14 tiles cut from one stomach biopsy slide.
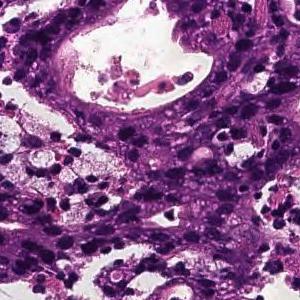
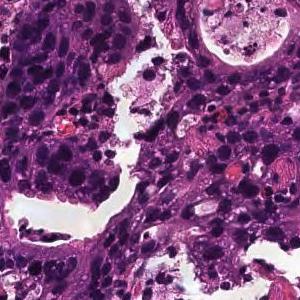
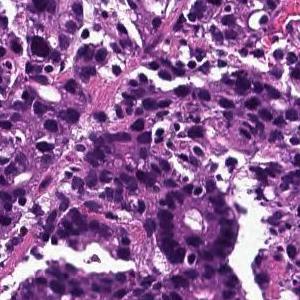
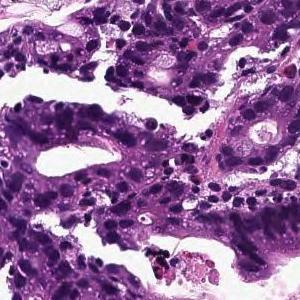
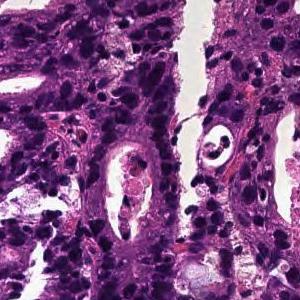
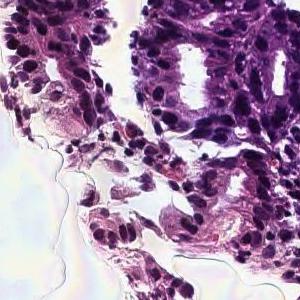
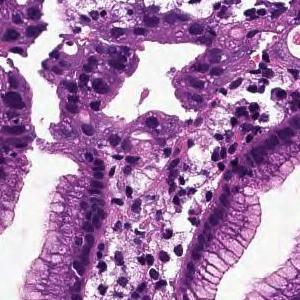
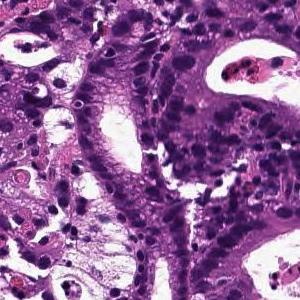
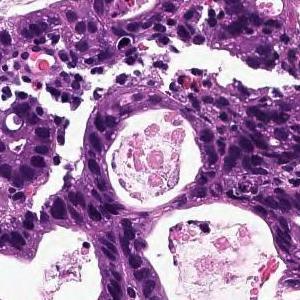
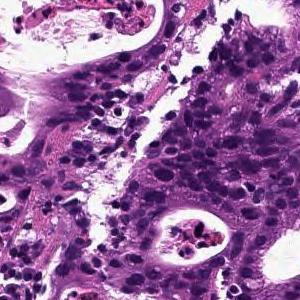
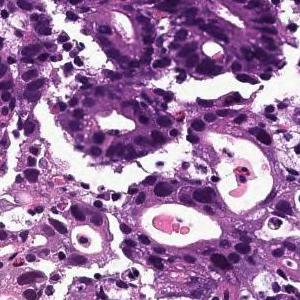
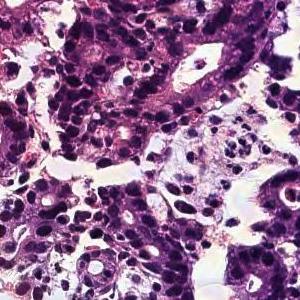
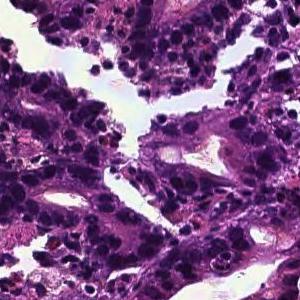
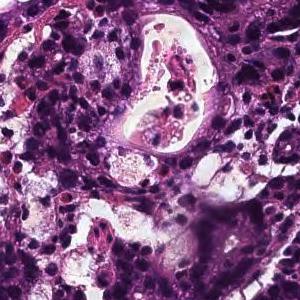
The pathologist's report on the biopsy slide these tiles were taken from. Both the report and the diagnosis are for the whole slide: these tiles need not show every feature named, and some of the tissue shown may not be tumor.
In the superficial epithelium, tumor tissue that invades by forming medium-sized to small, irregular ducts is observed. moderately differentiated tubular adenocarcinoma.
